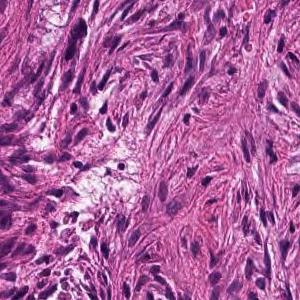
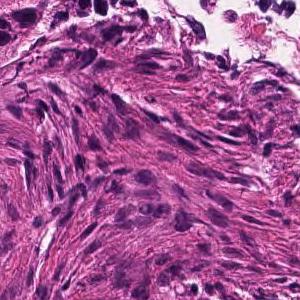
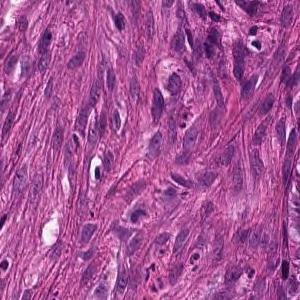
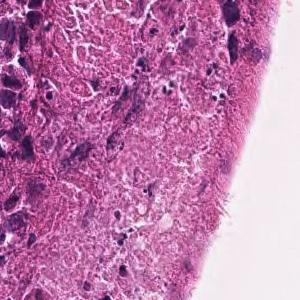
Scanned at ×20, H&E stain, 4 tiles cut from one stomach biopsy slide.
The pathologist's report on the biopsy slide these tiles were taken from. The report and the diagnosis describe the slide as a whole, so these tiles may not show every feature named and may include non-tumor tissue.
In the superficial epithelium, tumor tissue that invades by forming medium-sized to small, irregular ducts is observed. moderately differentiated tubular adenocarcinoma.
